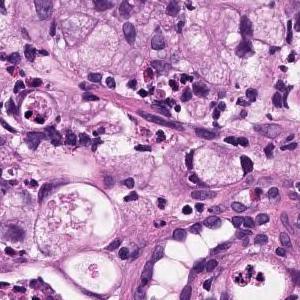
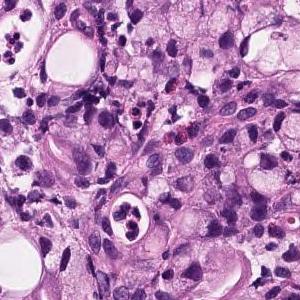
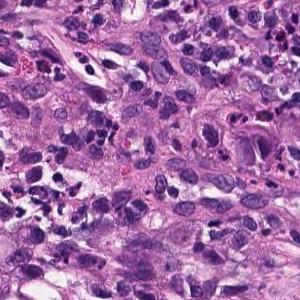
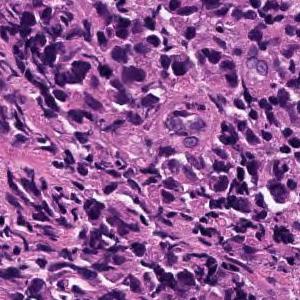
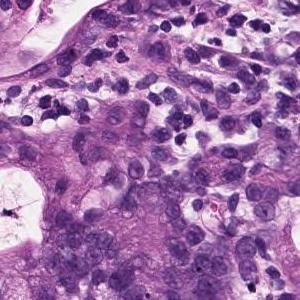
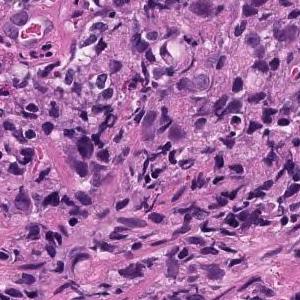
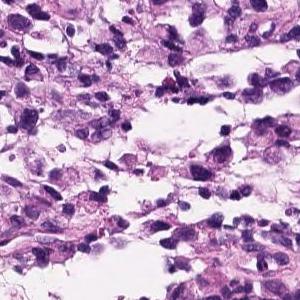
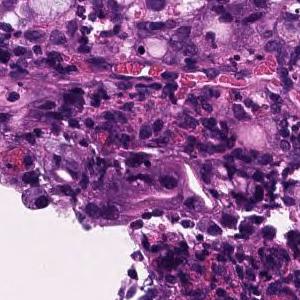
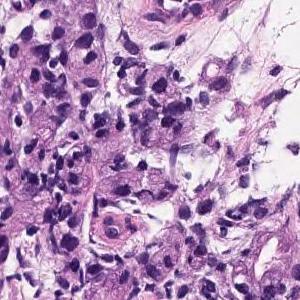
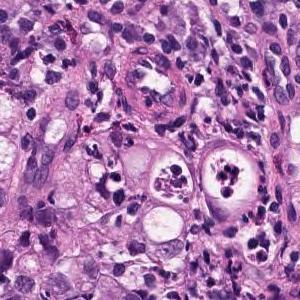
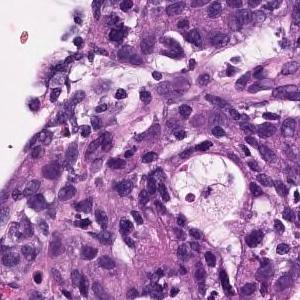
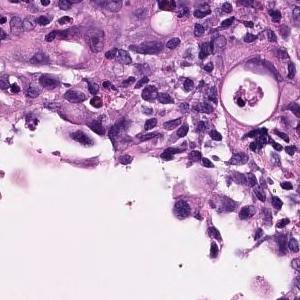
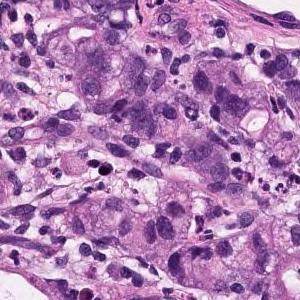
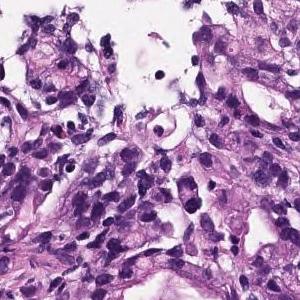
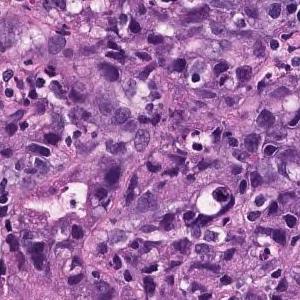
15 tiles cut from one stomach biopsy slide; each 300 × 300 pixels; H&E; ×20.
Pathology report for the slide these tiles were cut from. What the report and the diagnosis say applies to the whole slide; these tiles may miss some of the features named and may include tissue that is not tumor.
Atypical epithelium forms irregularly fused gland ducts and proliferates. Poorly differentiated adenocarcinoma.
Tumor subtype: poorly differentiated adenocarcinoma, non-solid type.
The non-solid type named here is a Japanese Classification of Gastric Carcinoma category.
